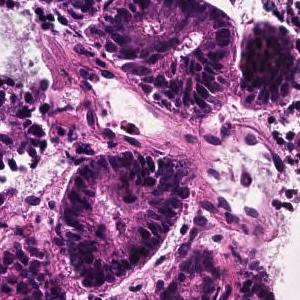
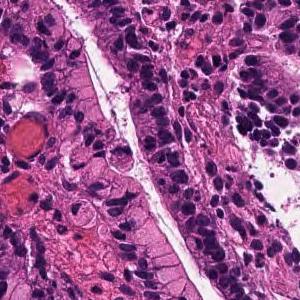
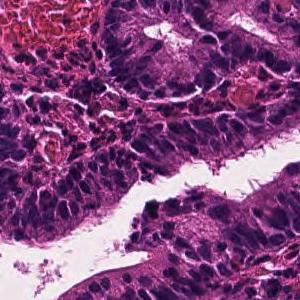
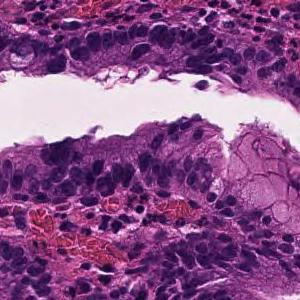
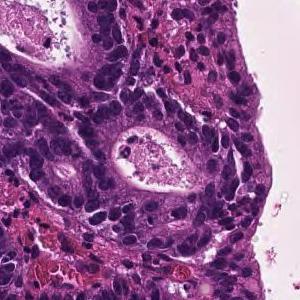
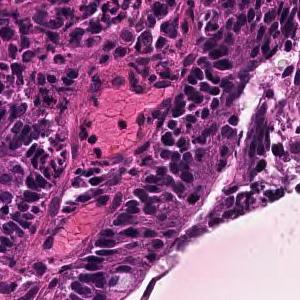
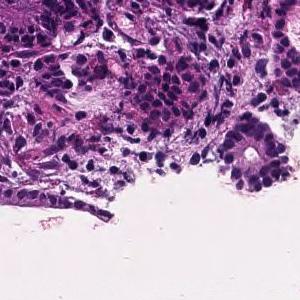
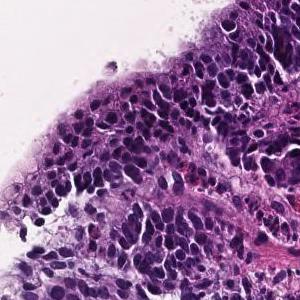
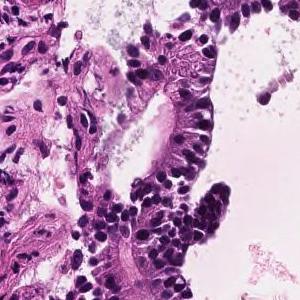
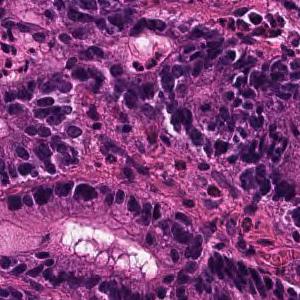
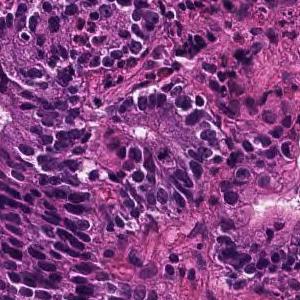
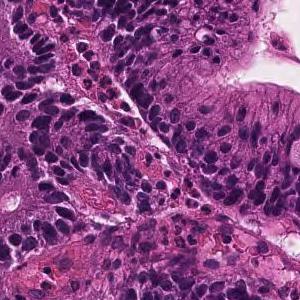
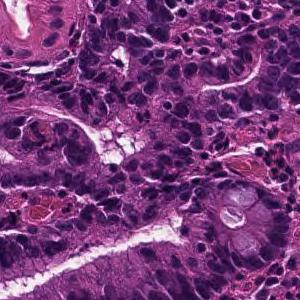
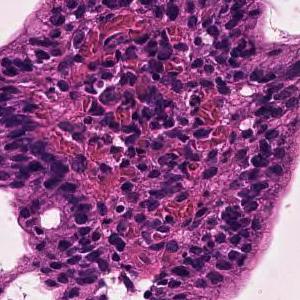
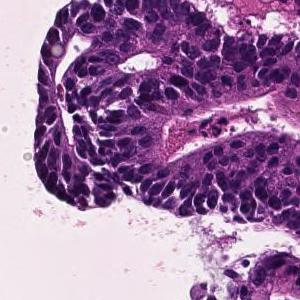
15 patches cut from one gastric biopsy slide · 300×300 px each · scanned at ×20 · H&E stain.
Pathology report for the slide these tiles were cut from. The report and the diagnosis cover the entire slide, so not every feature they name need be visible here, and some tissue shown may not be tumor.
In the superficial epithelium, tumor tissue that invades by forming medium-sized to small, irregular ducts is observed. moderately differentiated tubular adenocarcinoma.
